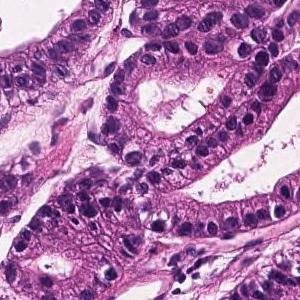
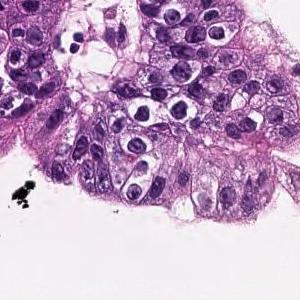
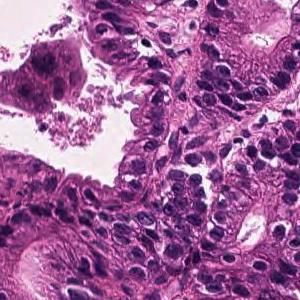
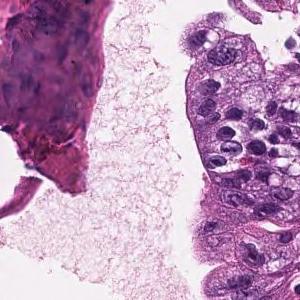
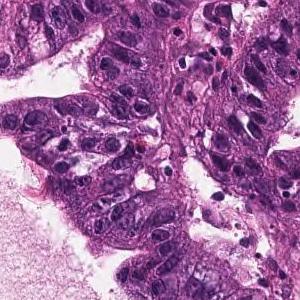
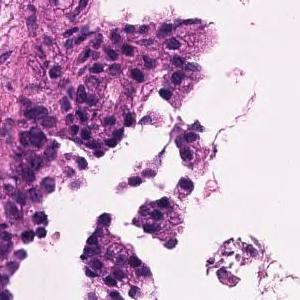
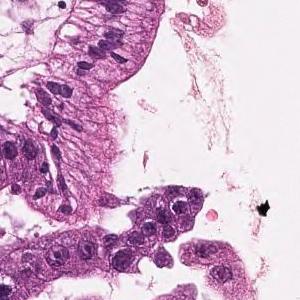
H&E stain; 7 tiles from the same stomach biopsy slide.
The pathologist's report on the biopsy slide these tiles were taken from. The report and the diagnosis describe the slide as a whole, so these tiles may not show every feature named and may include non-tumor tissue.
On the superficial epithelium, tumor tissue that infiltrates by forming medium-sized papillary or small irregular ducts is observed. Papillary adenocarcinoma
